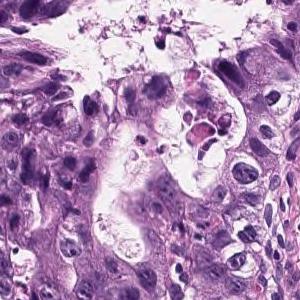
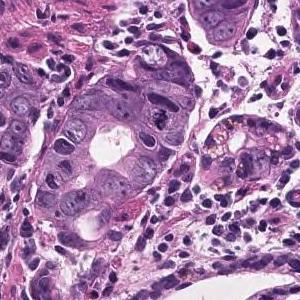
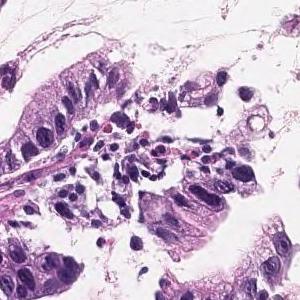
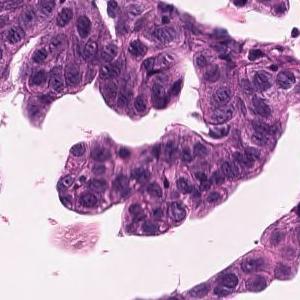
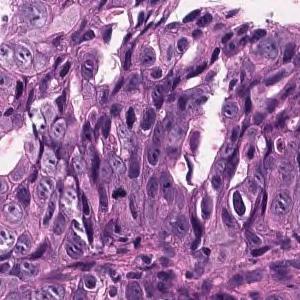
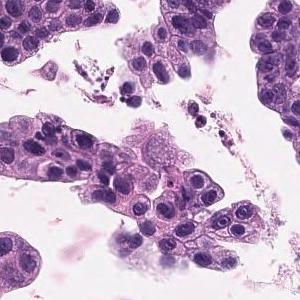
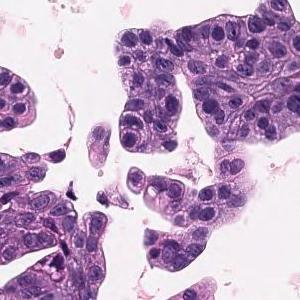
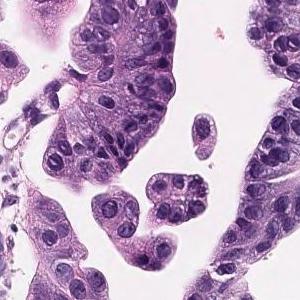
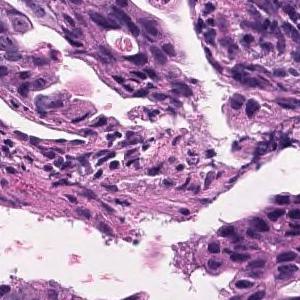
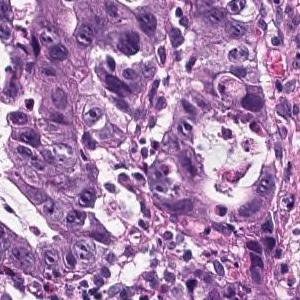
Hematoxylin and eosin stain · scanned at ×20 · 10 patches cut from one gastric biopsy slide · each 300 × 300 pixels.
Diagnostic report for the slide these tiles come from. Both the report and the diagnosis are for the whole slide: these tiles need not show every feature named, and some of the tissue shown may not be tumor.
Tumor cells are large, highly columnar, large club-shaped nuclei, and are associated with chromatin aggregation. Papillary adenocarcinoma.
